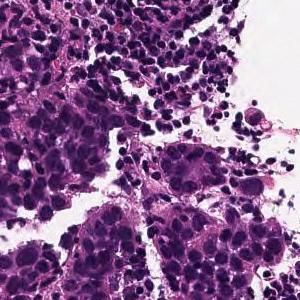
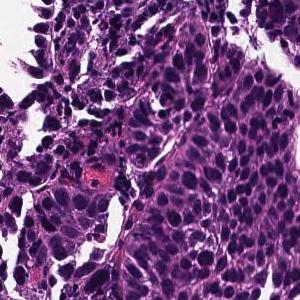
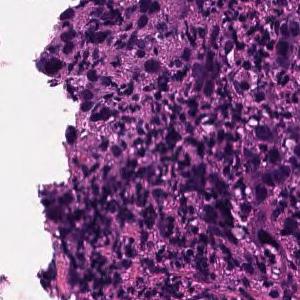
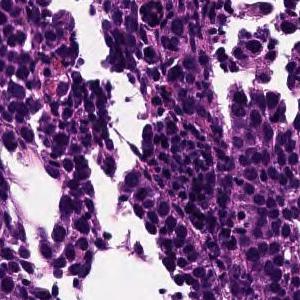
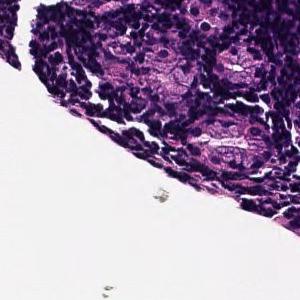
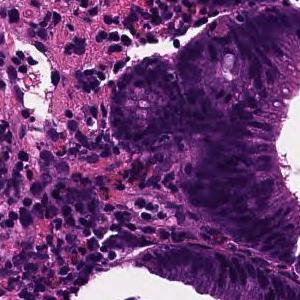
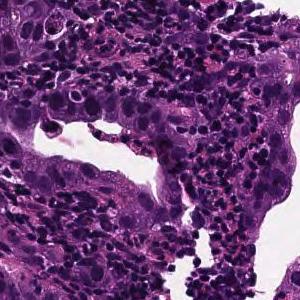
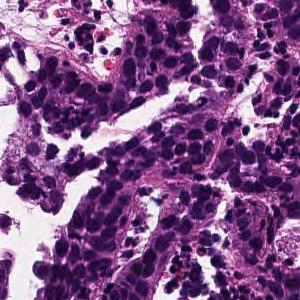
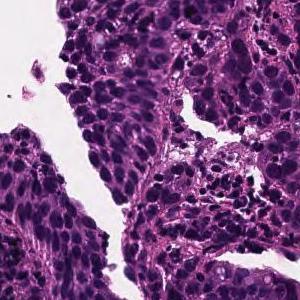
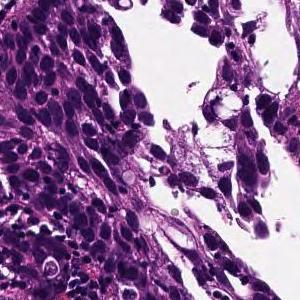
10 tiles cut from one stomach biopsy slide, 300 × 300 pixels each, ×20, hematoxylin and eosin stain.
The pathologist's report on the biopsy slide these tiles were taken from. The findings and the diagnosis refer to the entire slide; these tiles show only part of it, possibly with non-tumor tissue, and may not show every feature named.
Tumor tissue consisting of cord-like or small, irregular glandular ducts fused and infiltrated is observed in the superficial epithelium. Poorly differentiated adenocarcinoma, non-solid type
The non-solid type named here is a Japanese Classification of Gastric Carcinoma category.
